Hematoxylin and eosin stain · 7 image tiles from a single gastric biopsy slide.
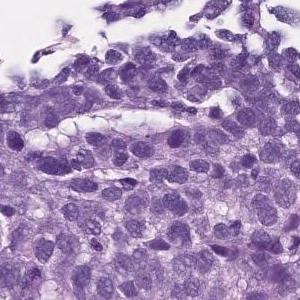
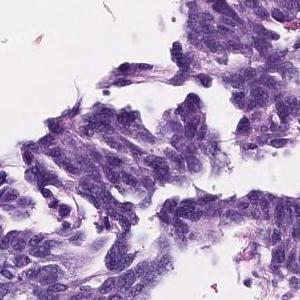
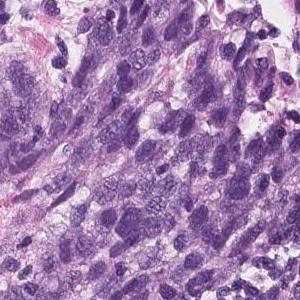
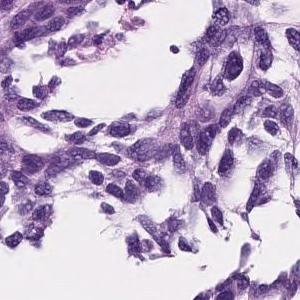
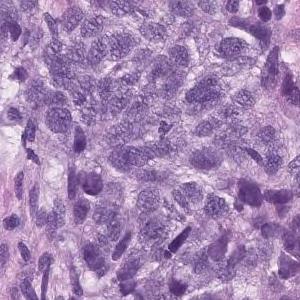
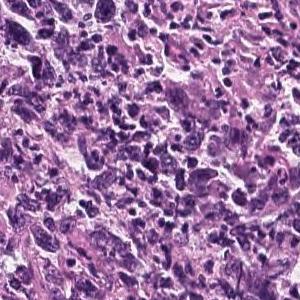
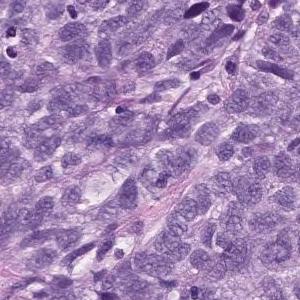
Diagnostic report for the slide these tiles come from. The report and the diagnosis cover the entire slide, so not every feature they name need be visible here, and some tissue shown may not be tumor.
Epithelial cells with swollen nuclei with atypia invasively proliferating while forming vesicles is observed. Poorly differentiated adenocarcinoma
Histological subtype: Poorly differentiated adenocarcinoma, solid type, a category of the Japanese Classification of Gastric Carcinoma; in the WHO 2019 classification it is tubular adenocarcinoma, poorly differentiated.
